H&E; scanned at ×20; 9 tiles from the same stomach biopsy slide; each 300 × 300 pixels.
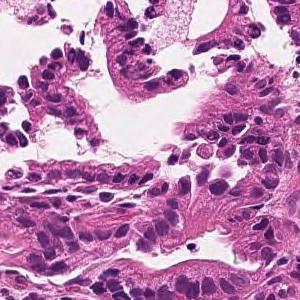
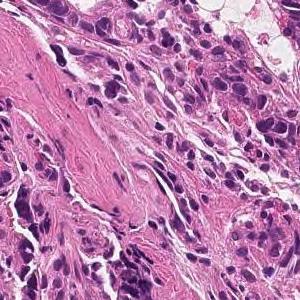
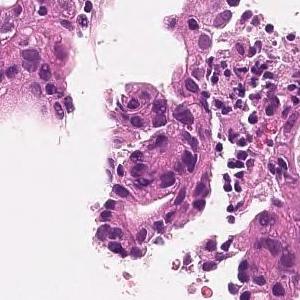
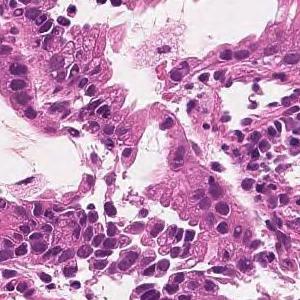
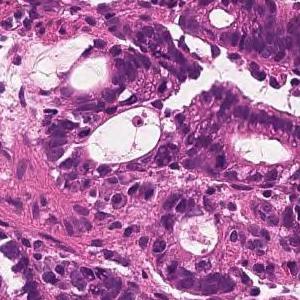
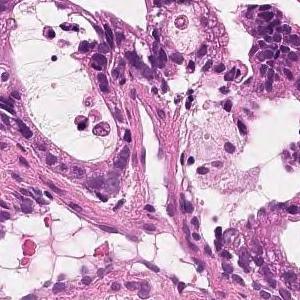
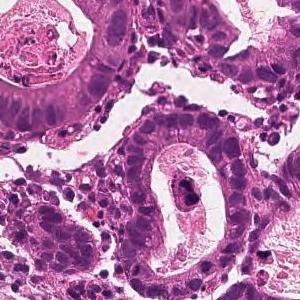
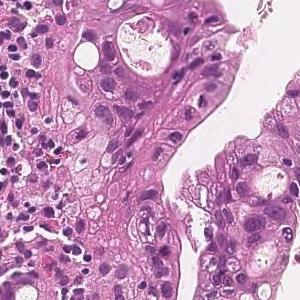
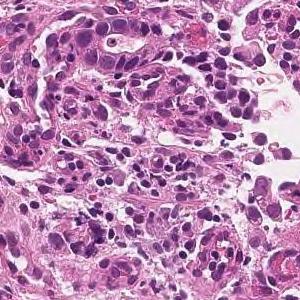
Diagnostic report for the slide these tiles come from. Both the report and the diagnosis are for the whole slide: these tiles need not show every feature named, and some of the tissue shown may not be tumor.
On the superficial epithelium, tumor tissue is found in which medium-sized irregular gland ducts fuse with each other and infiltrate. moderately differentiated tubular adenocarcinoma
